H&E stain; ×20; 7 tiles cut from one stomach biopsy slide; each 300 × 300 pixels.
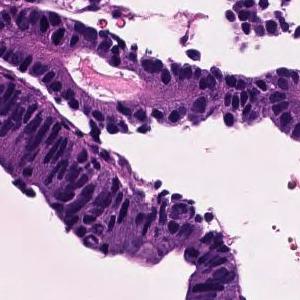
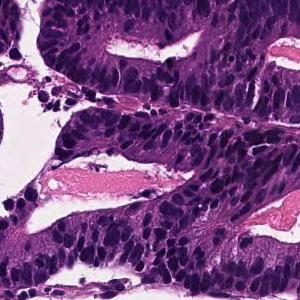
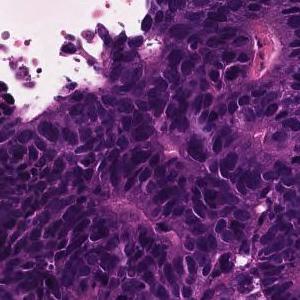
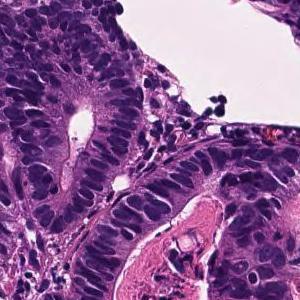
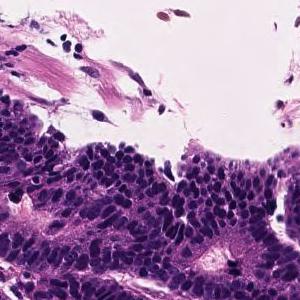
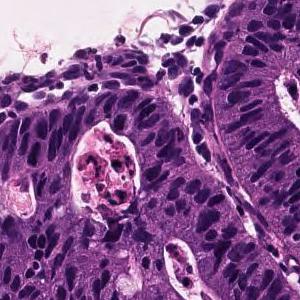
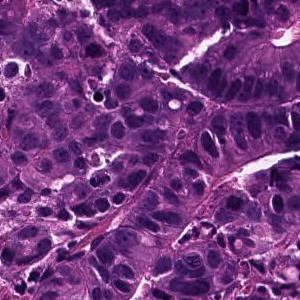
Pathology report for the slide these tiles were cut from. Both the report and the diagnosis are for the whole slide: these tiles need not show every feature named, and some of the tissue shown may not be tumor.
In the superficial epithelium, tumor tissue that invades by forming medium-sized to small, irregular ducts is observed. moderately differentiated tubular adenocarcinoma.
